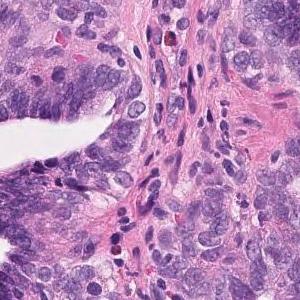
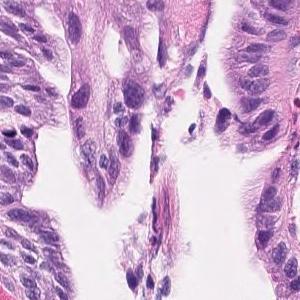
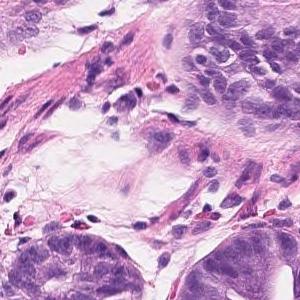
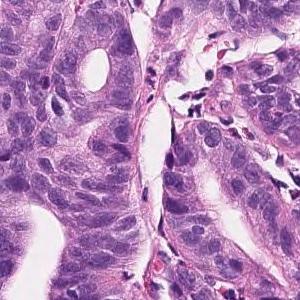
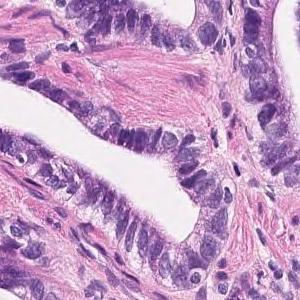
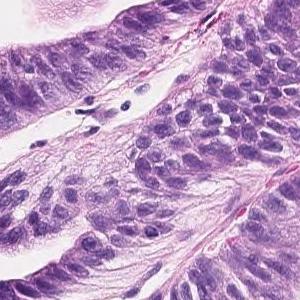
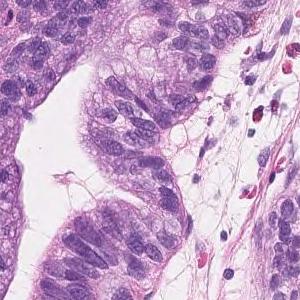
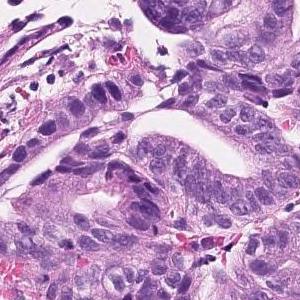
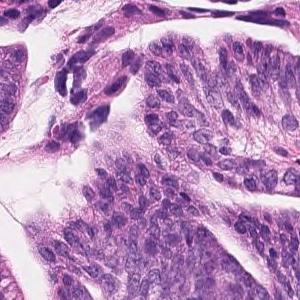
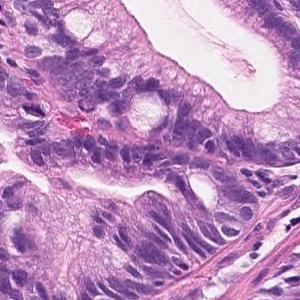
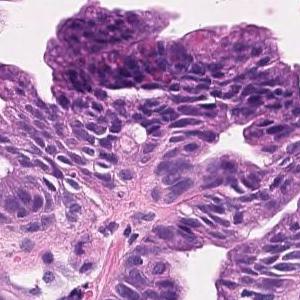
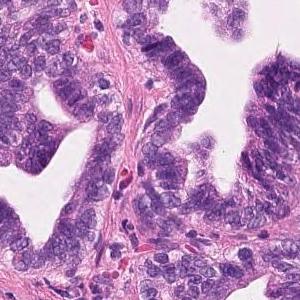
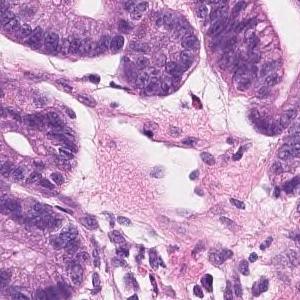
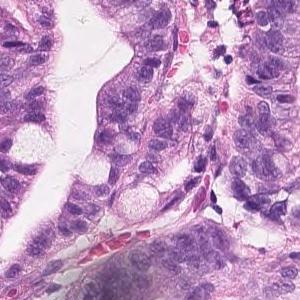
14 tiles cut from one stomach biopsy slide · 300 × 300 pixels each · hematoxylin and eosin stain · 20× magnification.
Pathology report for the biopsy slide these tiles were cut from. The findings and the diagnosis refer to the entire slide; these tiles show only part of it, possibly with non-tumor tissue, and may not show every feature named.
Tumor cells are large, highly columnar, large club-shaped nuclei, and are associated with chromatin aggregation. Papillary adenocarcinoma.
